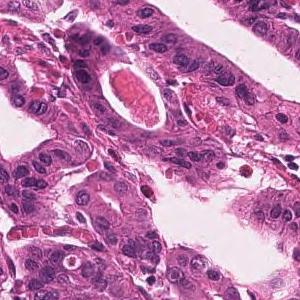
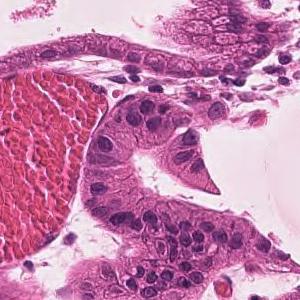
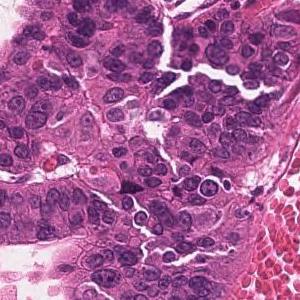
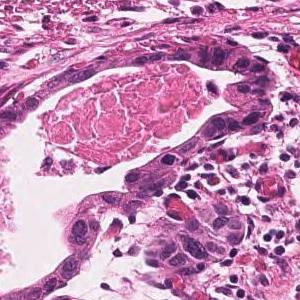
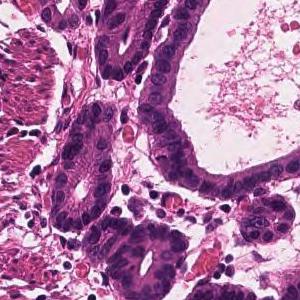
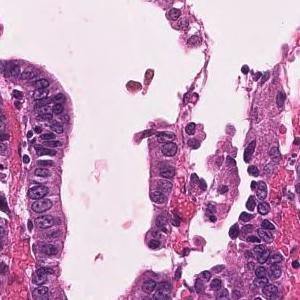
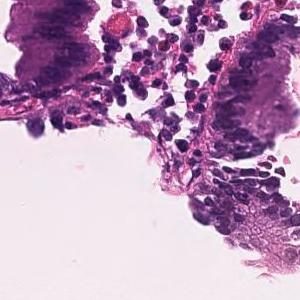
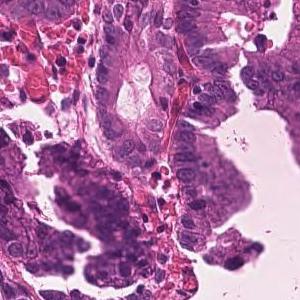
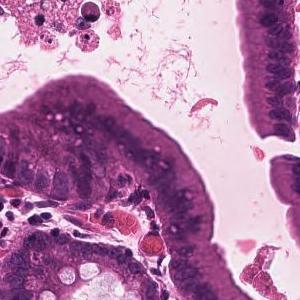
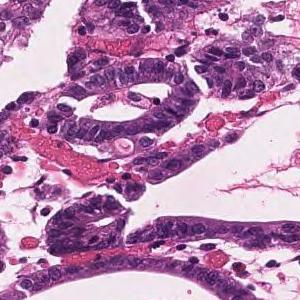
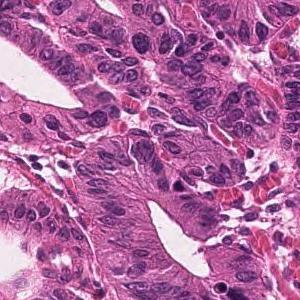
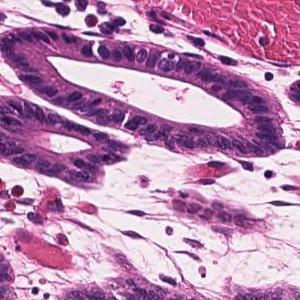
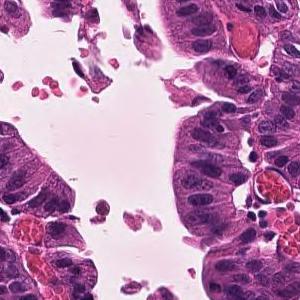
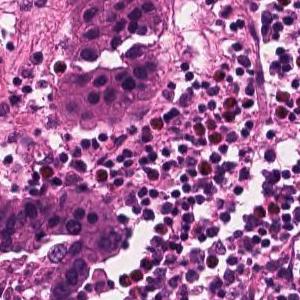
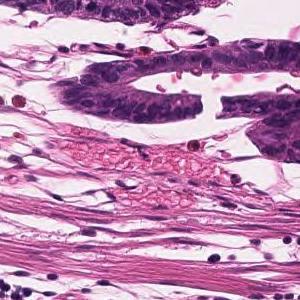
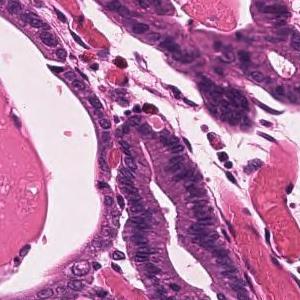
H&E stain, ×20, 16 image tiles from a single gastric biopsy slide.
Diagnostic report for the slide these tiles come from. What the report and the diagnosis say applies to the whole slide; these tiles may miss some of the features named and may include tissue that is not tumor.
Infiltrating tumor tissue with medium-sized, irregular ductal structure or large papillary appearance is observed. Well differentiated tubular adenocarcinoma
